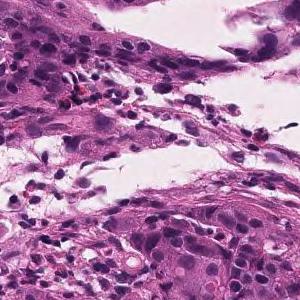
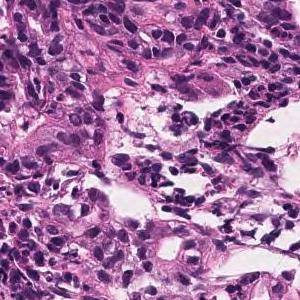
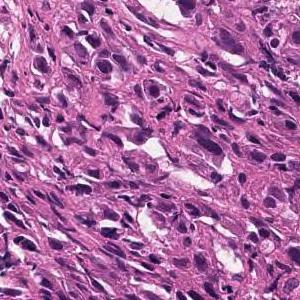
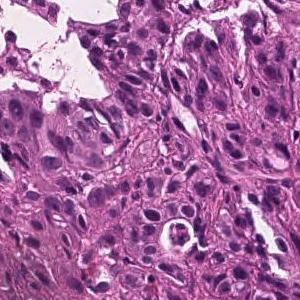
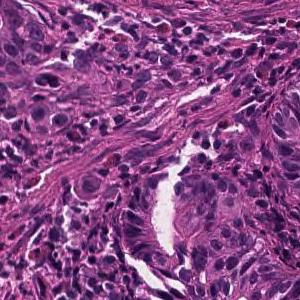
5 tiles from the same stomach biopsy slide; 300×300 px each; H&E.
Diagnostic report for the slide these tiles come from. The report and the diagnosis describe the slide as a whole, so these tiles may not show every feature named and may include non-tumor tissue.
Tumor tissue consisting of medium-sized, cord-like or irregular glandular infiltration is observed in the superficial epithelium. Poorly differentiated adenocarcinoma, non-solid type or moderately differentiated tubular adenocarcinoma
The non-solid type named here is a Japanese Classification of Gastric Carcinoma category.
